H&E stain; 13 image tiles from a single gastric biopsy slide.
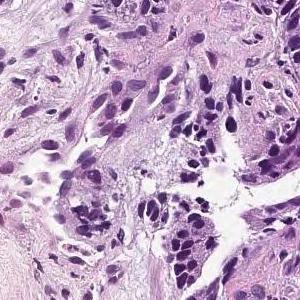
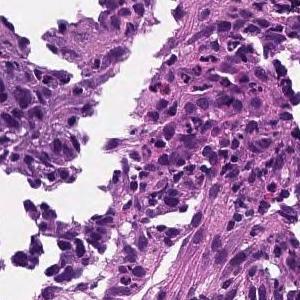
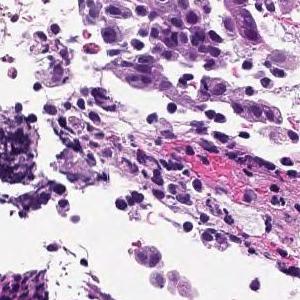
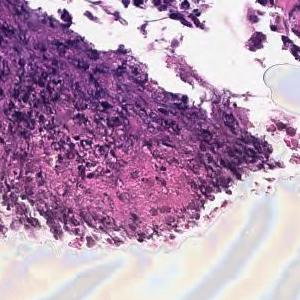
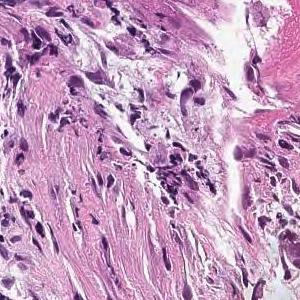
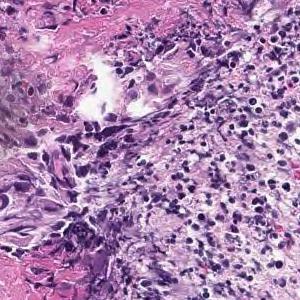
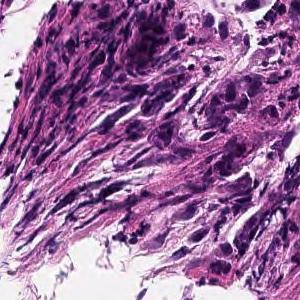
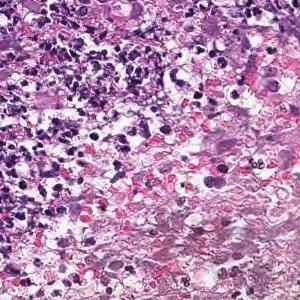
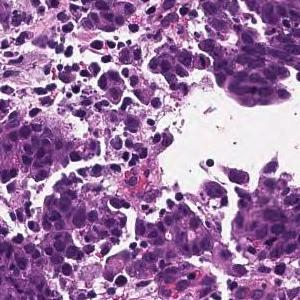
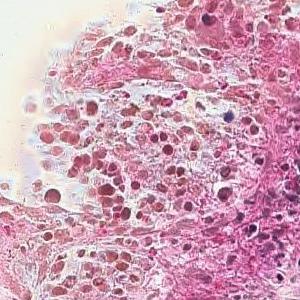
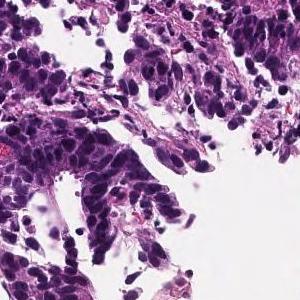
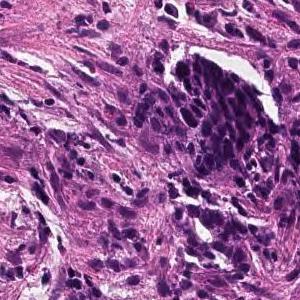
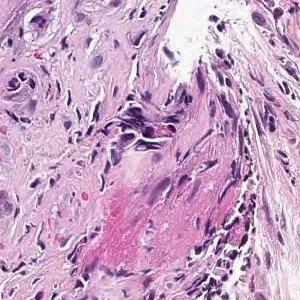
The pathologist's report on the biopsy slide these tiles were taken from. The report and the diagnosis cover the entire slide, so not every feature they name need be visible here, and some tissue shown may not be tumor.
In the superficial epithelium, tumor tissue that invades by forming medium-sized to small, irregular ducts is observed. moderately differentiated tubular adenocarcinoma.
